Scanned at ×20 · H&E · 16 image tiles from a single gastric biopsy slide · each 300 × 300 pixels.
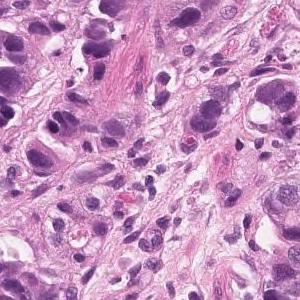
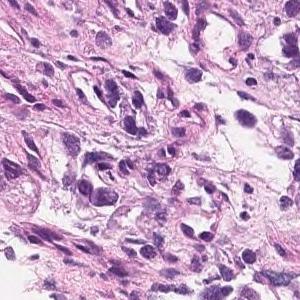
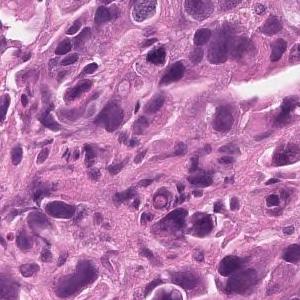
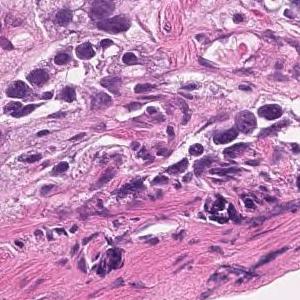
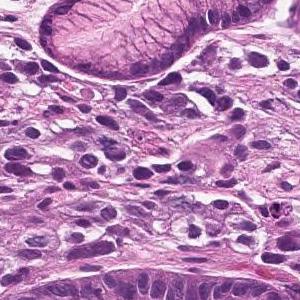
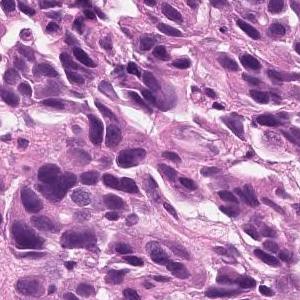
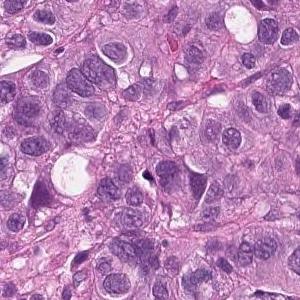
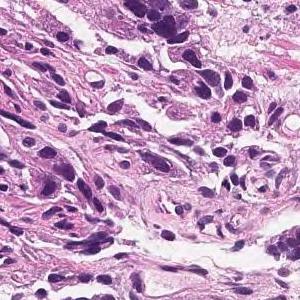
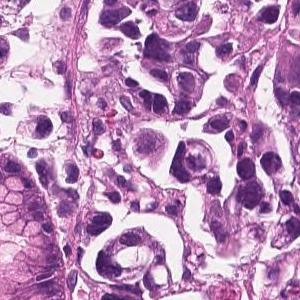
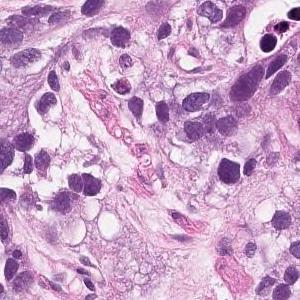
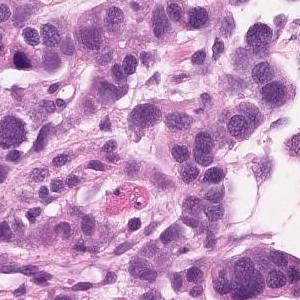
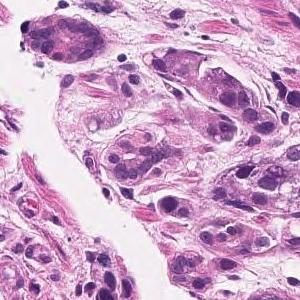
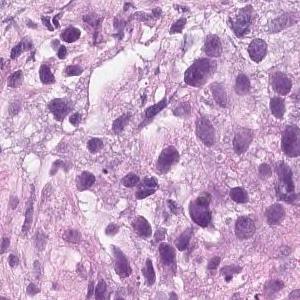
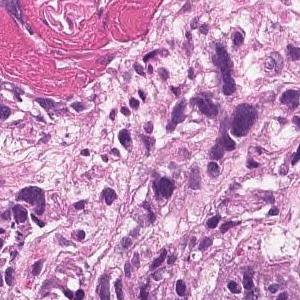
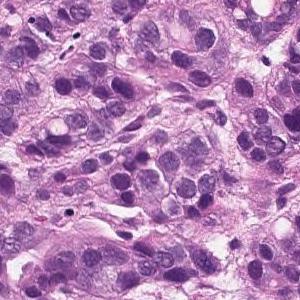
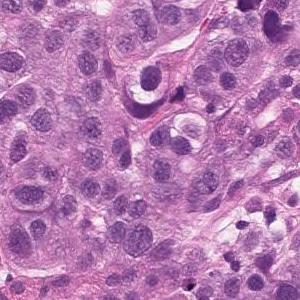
The pathologist's report on the biopsy slide these tiles were taken from. The report and the diagnosis cover the entire slide, so not every feature they name need be visible here, and some tissue shown may not be tumor.
Tumor tissue that infiltrates the epithelium in an alveolar manner. Poorly differentiated adenocarcinoma, solid-type
Histologic type: Poorly differentiated adenocarcinoma, solid type (Japanese Classification of Gastric Carcinoma). The WHO 2019 equivalent is tubular adenocarcinoma, poorly differentiated.
